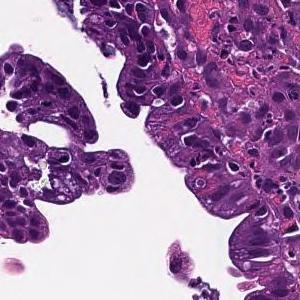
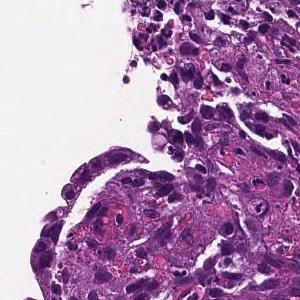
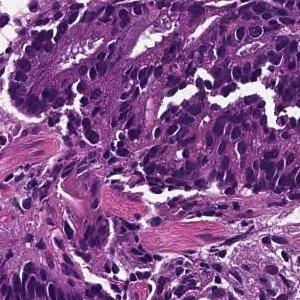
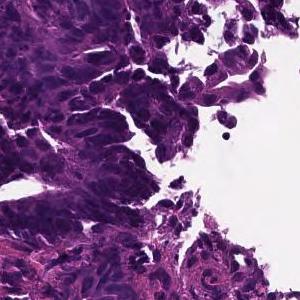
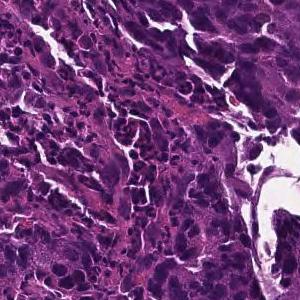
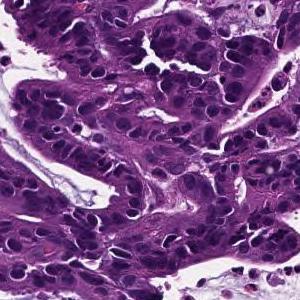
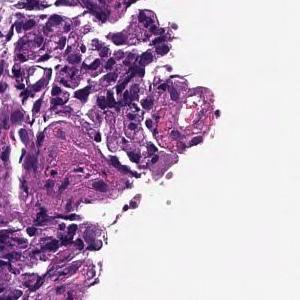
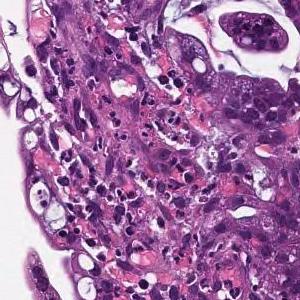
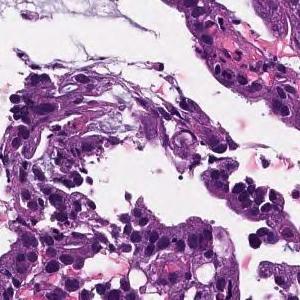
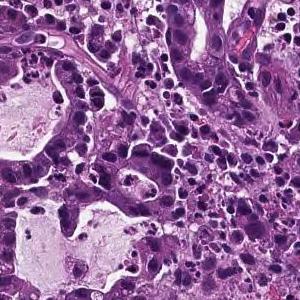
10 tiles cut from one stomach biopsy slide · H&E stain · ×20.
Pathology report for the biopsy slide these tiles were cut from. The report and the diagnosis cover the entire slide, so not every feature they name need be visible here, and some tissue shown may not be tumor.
On the superficial epithelium, tumor tissue consisting of large irregular glandular ducts partially fused and infiltrated is observed. Well to moderately differentiated tubular adenocarcinoma (well differentiated tubular adenocarcinoma, moderately differentiated tubular adenocarcinoma)
Subtype: Well to moderately differentiated tubular adenocarcinoma.
